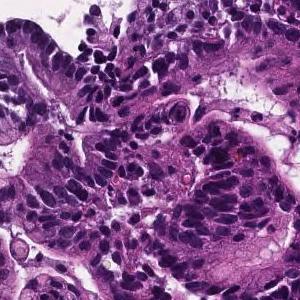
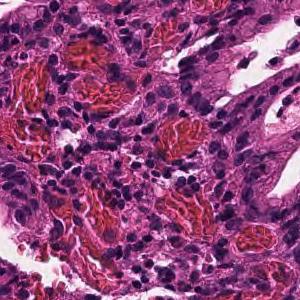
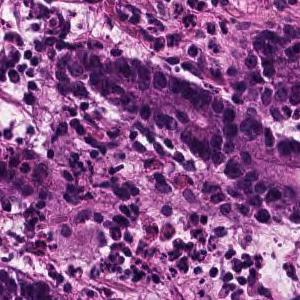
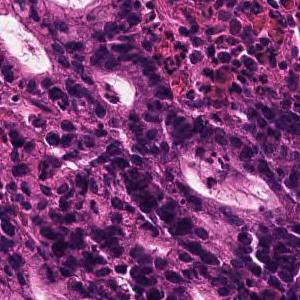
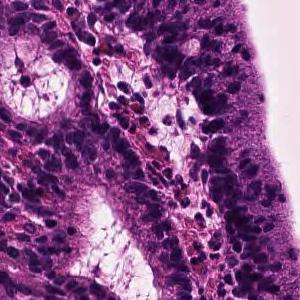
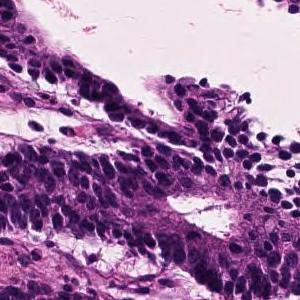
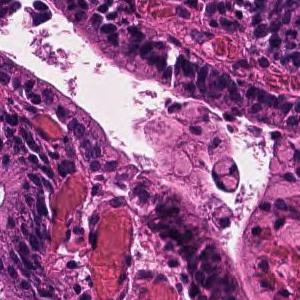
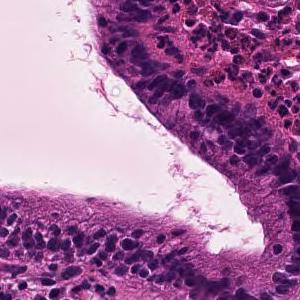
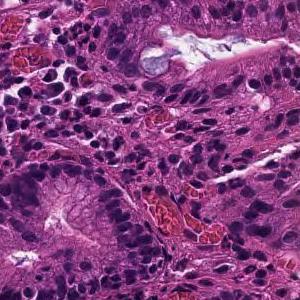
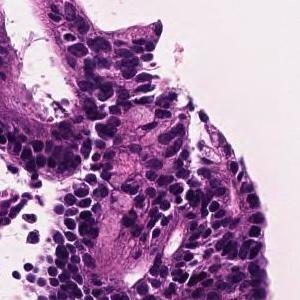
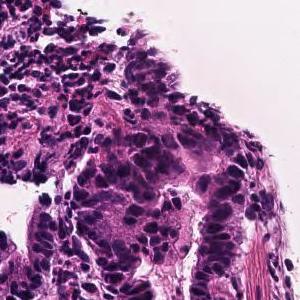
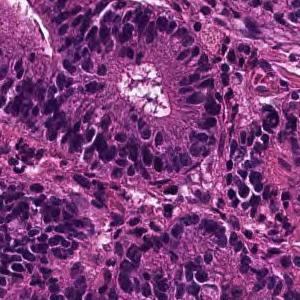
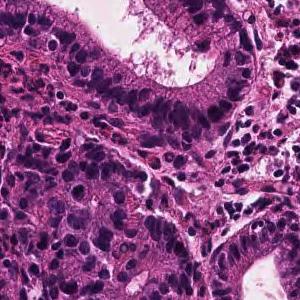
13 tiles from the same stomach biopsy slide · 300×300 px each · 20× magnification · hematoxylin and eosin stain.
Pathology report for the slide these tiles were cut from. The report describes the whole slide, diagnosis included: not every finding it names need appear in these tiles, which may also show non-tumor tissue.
In the superficial epithelium, tumor tissue that invades by forming medium-sized to small, irregular ducts is observed. moderately differentiated tubular adenocarcinoma.
